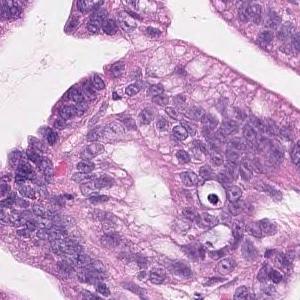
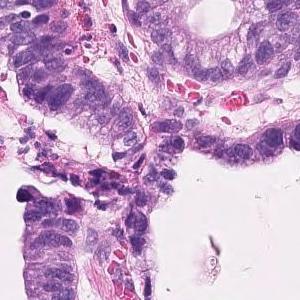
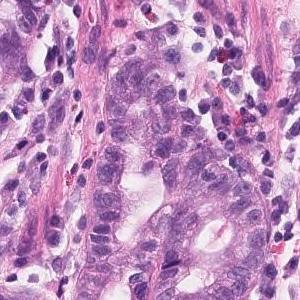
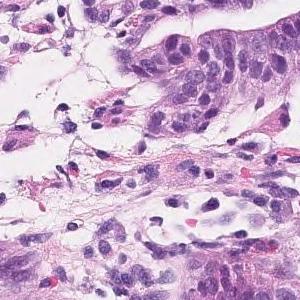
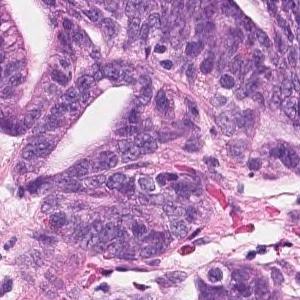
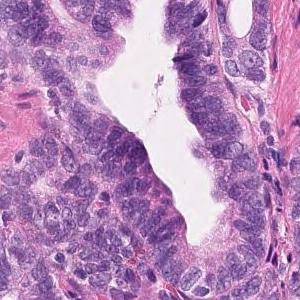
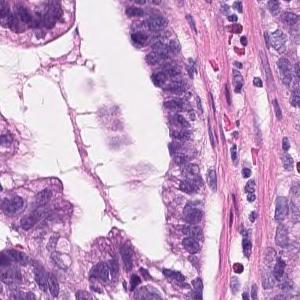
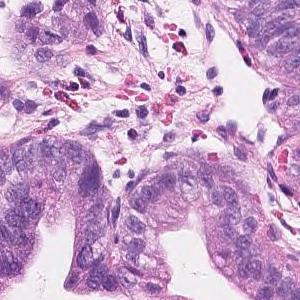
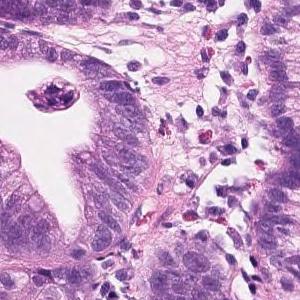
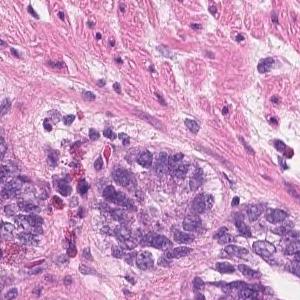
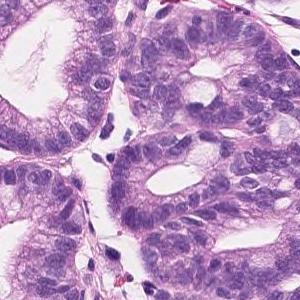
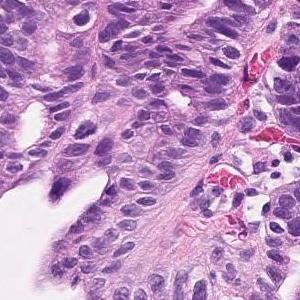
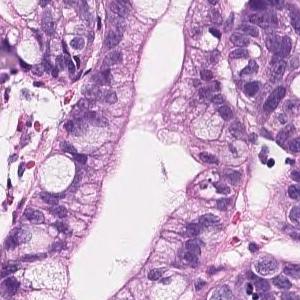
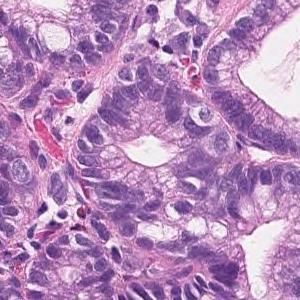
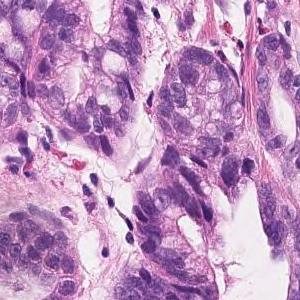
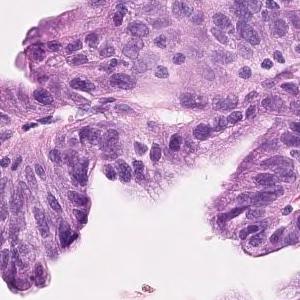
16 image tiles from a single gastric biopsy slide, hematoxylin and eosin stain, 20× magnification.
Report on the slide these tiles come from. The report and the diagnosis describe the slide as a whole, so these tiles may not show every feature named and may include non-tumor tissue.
Tumor cells are large, highly columnar, large club-shaped nuclei, and are associated with chromatin aggregation. Papillary adenocarcinoma.
